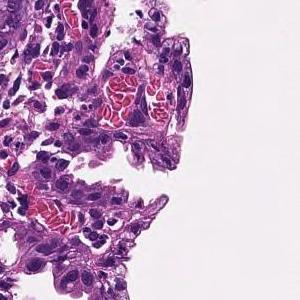
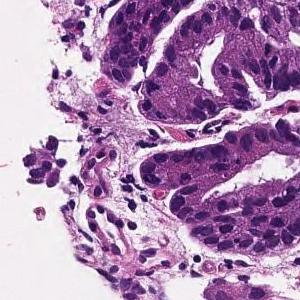
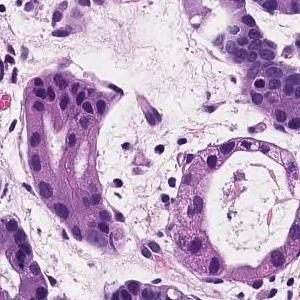
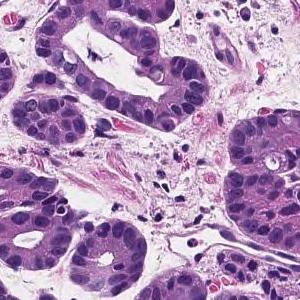
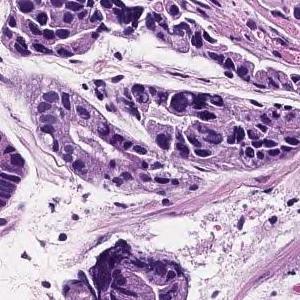
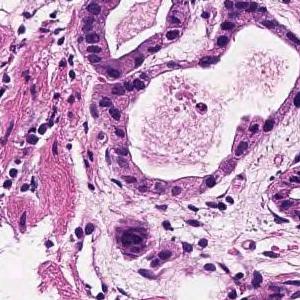
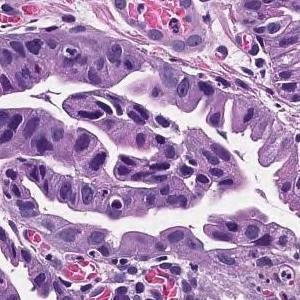
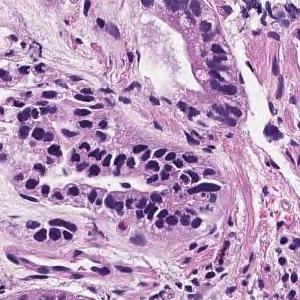
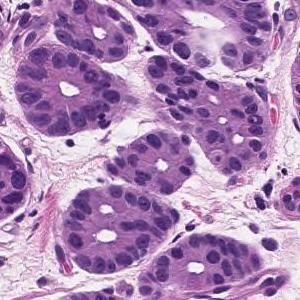
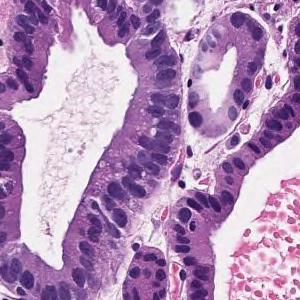
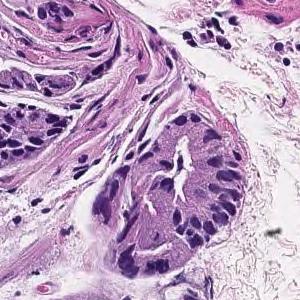
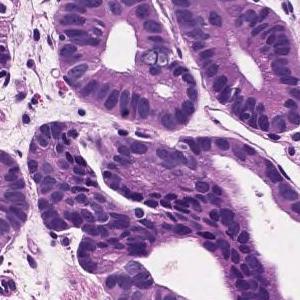
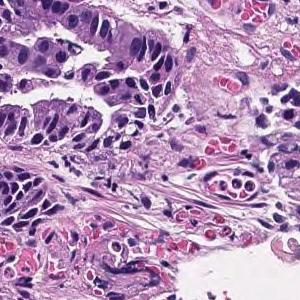
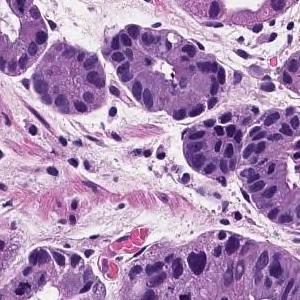
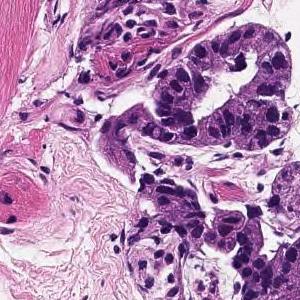
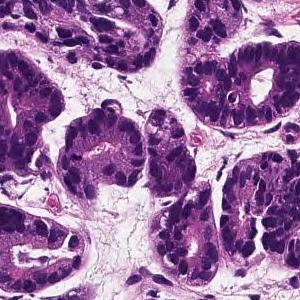
16 tiles from the same stomach biopsy slide; H&E; 20× magnification.
Pathology report for the slide these tiles were cut from. What the report and the diagnosis say applies to the whole slide; these tiles may miss some of the features named and may include tissue that is not tumor.
Tumor cells are large, highly columnar, large club-shaped nuclei, and are associated with chromatin aggregation. Papillary adenocarcinoma.
